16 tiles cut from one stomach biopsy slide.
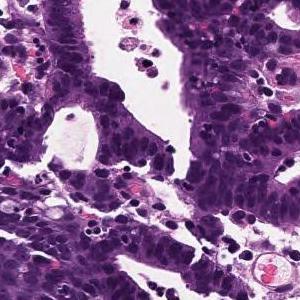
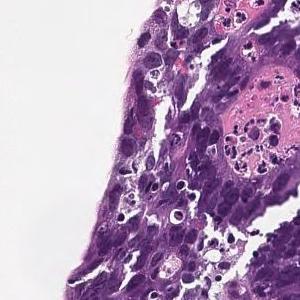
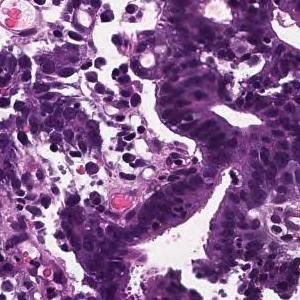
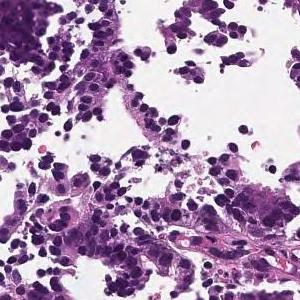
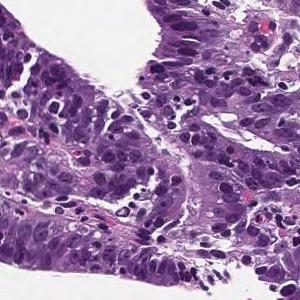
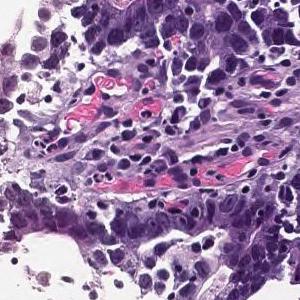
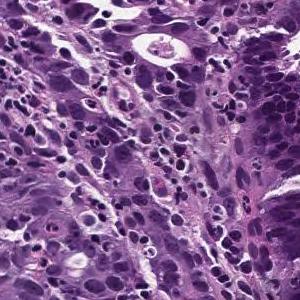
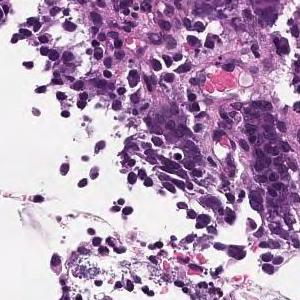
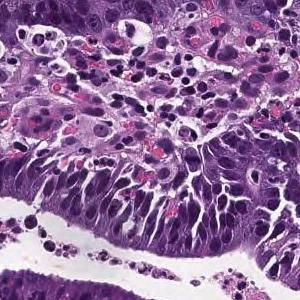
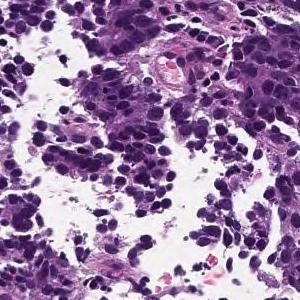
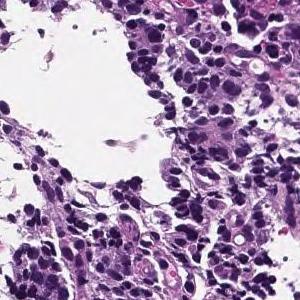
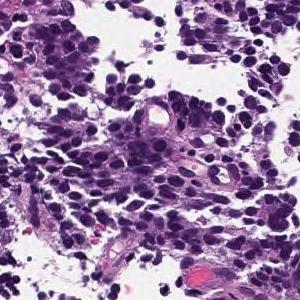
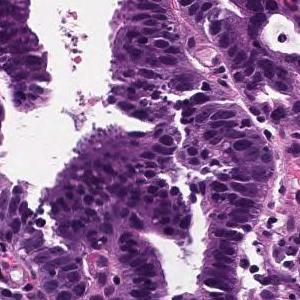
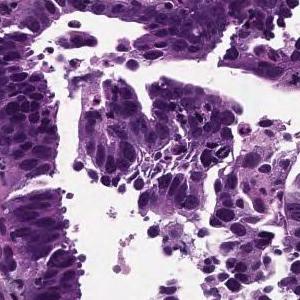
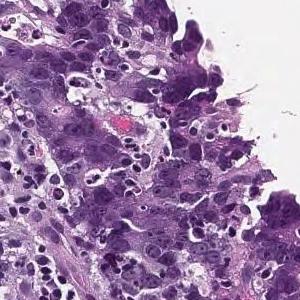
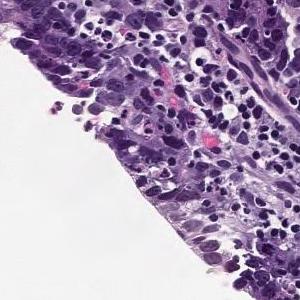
Pathology report for the slide these tiles were cut from. The report and the diagnosis cover the entire slide, so not every feature they name need be visible here, and some tissue shown may not be tumor.
On the superficial epithelium, tumor tissue is found in which medium-sized irregular gland ducts fuse with each other and infiltrate. moderately differentiated tubular adenocarcinoma
